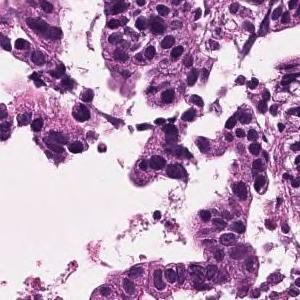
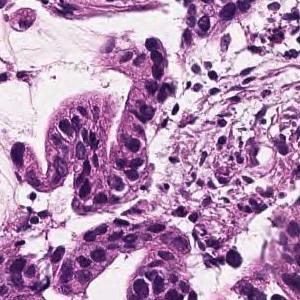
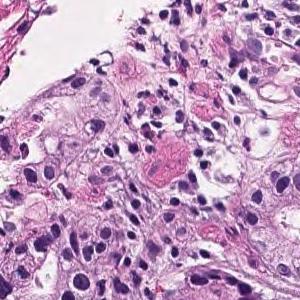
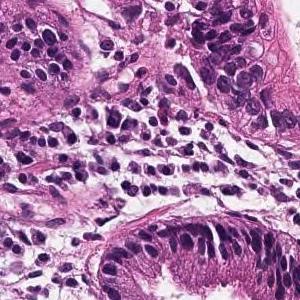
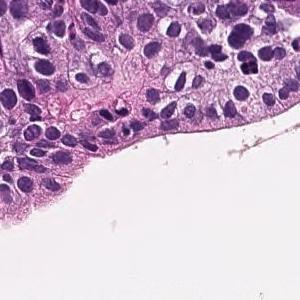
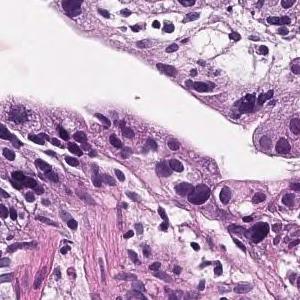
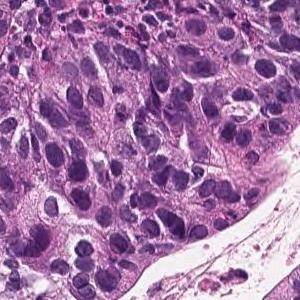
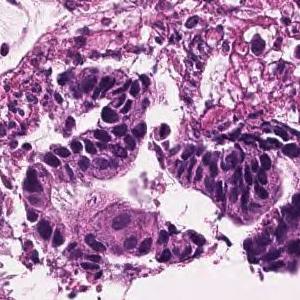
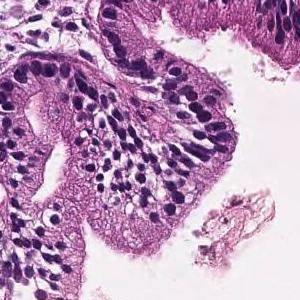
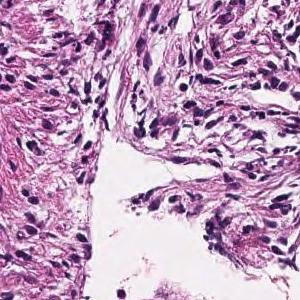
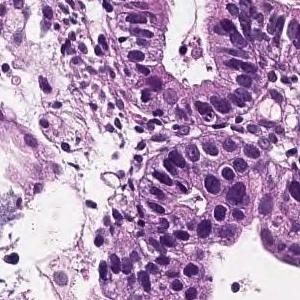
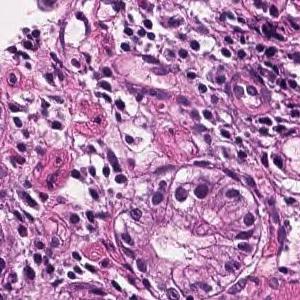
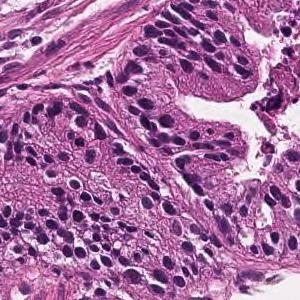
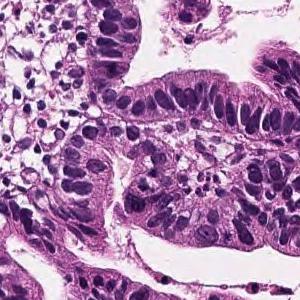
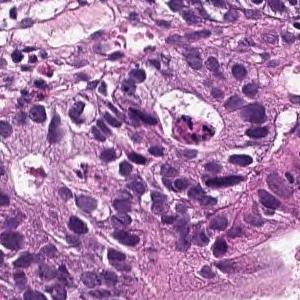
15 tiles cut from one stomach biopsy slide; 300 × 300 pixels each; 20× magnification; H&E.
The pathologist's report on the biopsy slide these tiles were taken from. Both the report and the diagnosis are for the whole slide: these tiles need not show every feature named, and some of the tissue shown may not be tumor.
On the superficial epithelium, tumor tissue consisting of large, irregular glandular ducts partially fused and infiltrated is observed. Well to moderately differentiated tubular adenocarcinoma (well differentiated tubular adenocarcinoma, moderately differentiated tubular adenocarcinoma)
Subtype: Well to moderately differentiated tubular adenocarcinoma.
